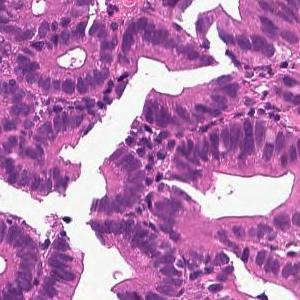
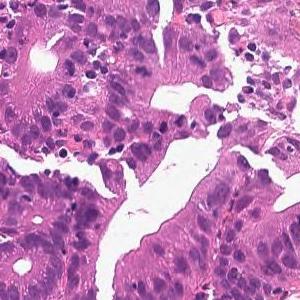
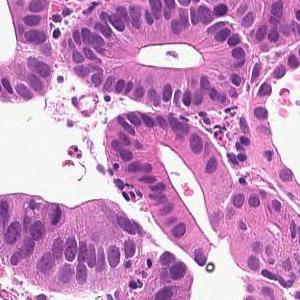
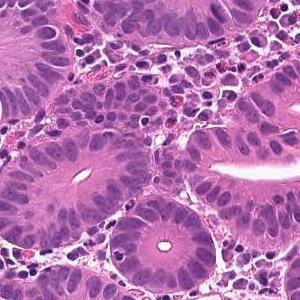
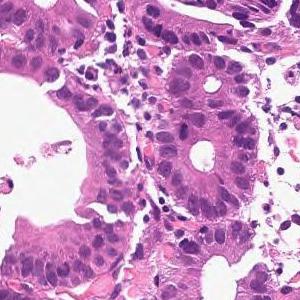
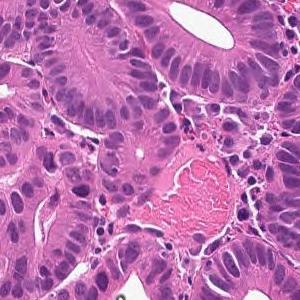
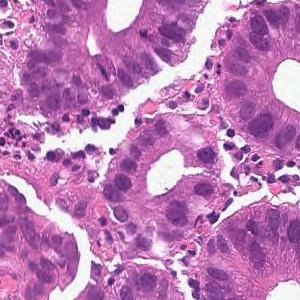
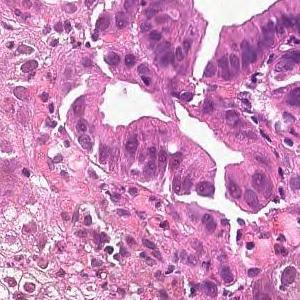
8 image tiles from a single gastric biopsy slide; each 300 × 300 pixels; scanned at ×20; H&E stain.
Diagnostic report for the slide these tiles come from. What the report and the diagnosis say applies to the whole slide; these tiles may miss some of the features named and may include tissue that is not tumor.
From the superficial epithelium to the muscularis mucosae, tumor tissue consisting of medium-sized and irregular glandular ducts infiltrating is observed. Well differentiated tubular adenocarcinoma
